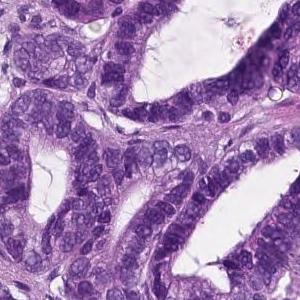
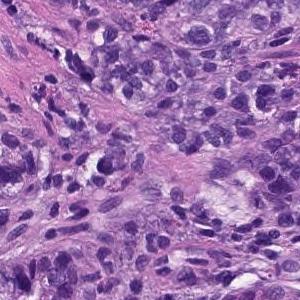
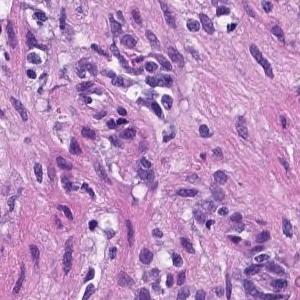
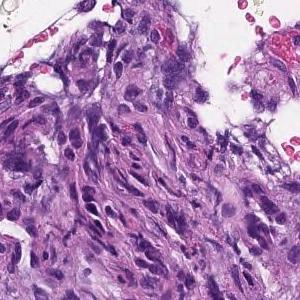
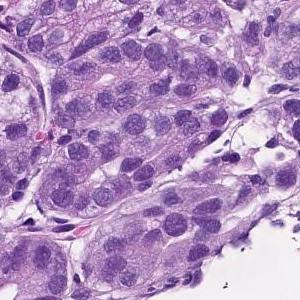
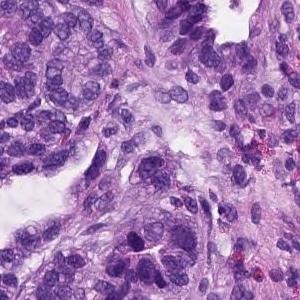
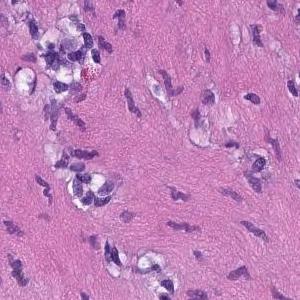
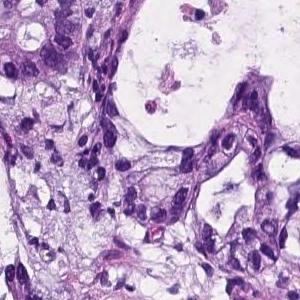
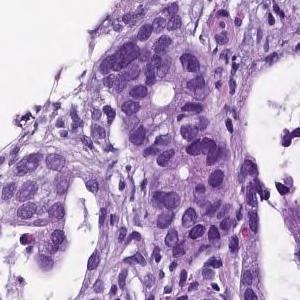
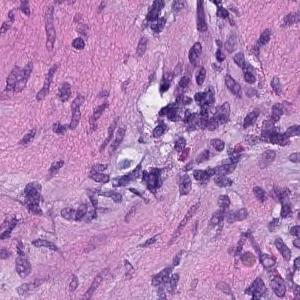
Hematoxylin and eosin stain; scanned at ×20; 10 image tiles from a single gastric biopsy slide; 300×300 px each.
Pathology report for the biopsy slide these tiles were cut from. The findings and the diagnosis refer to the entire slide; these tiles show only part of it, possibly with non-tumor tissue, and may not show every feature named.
From the superficial epithelium to the muscularis mucosae, tumor tissue consisting of medium-sized and irregular glandular ducts infiltrating is observed. Well differentiated tubular adenocarcinoma
